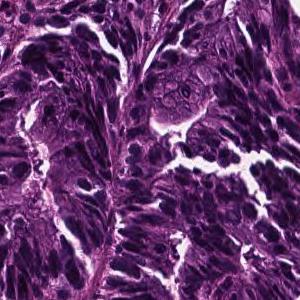
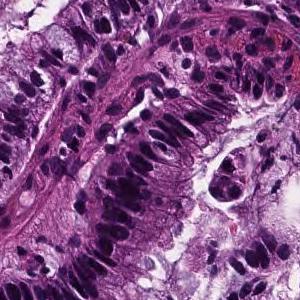
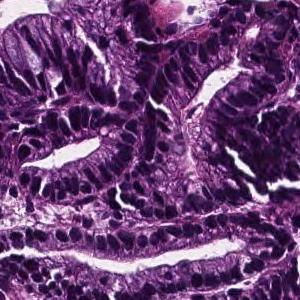
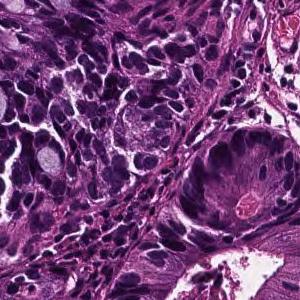
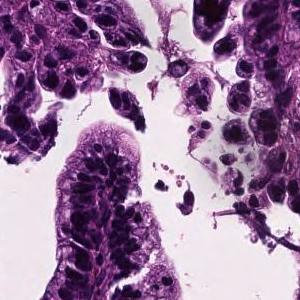
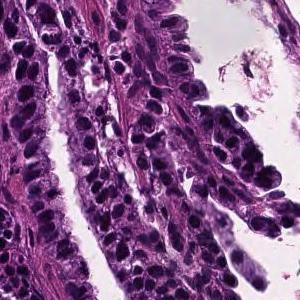
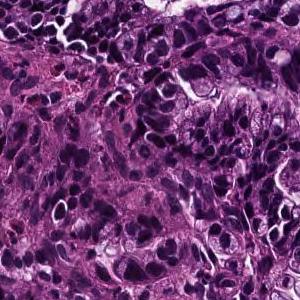
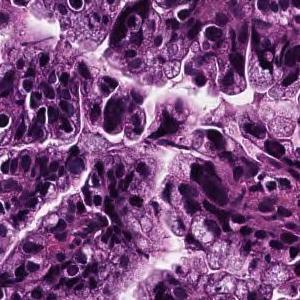
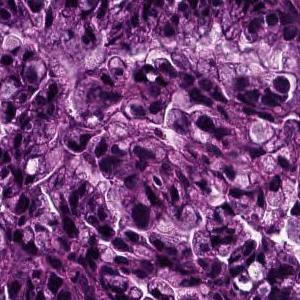
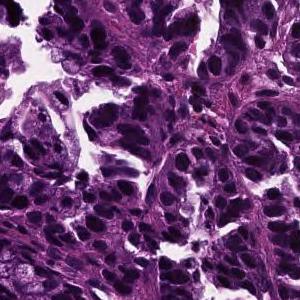
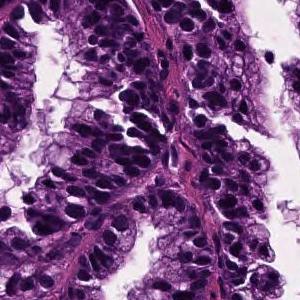
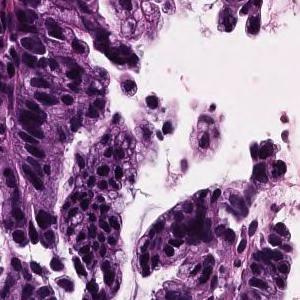
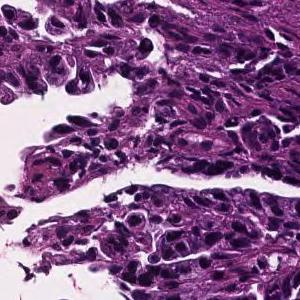
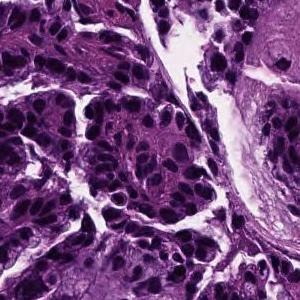
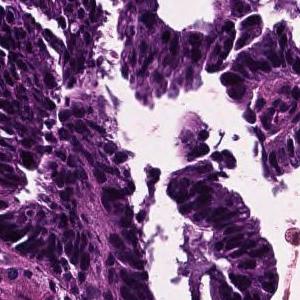
15 tiles cut from one stomach biopsy slide; each 300 × 300 pixels; scanned at ×20.
Diagnostic report for the slide these tiles come from. Both the report and the diagnosis are for the whole slide: these tiles need not show every feature named, and some of the tissue shown may not be tumor.
In the superficial epithelium, tumor tissue that invades by forming medium-sized to small, irregular ducts is observed. Well differentiated tubular adenocarcinoma.
